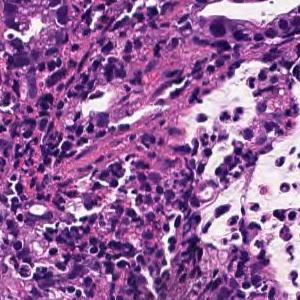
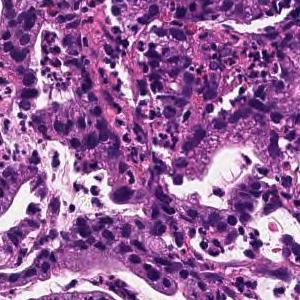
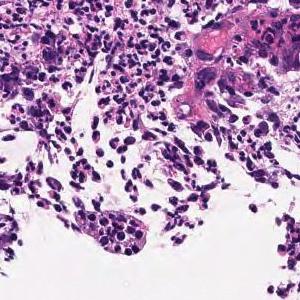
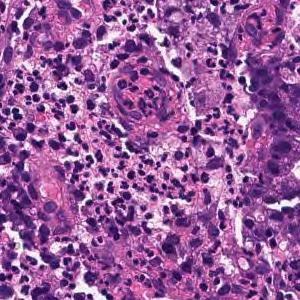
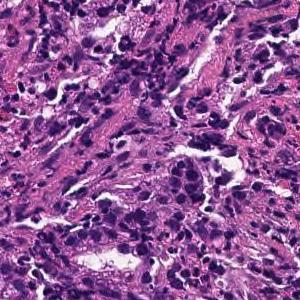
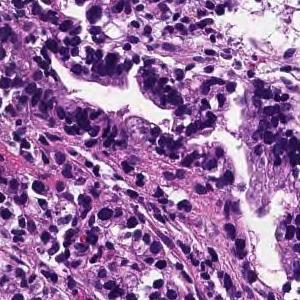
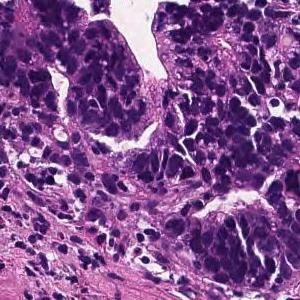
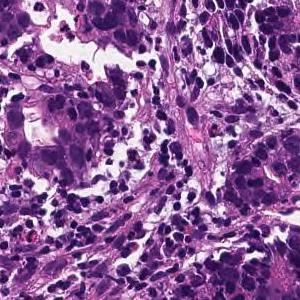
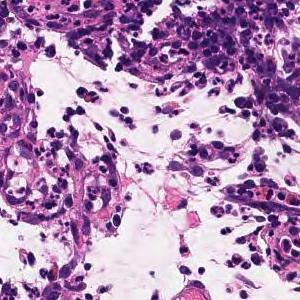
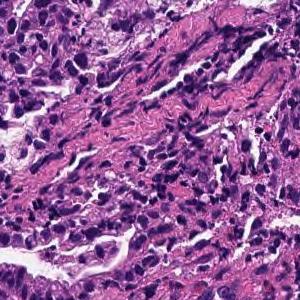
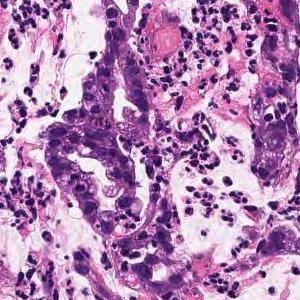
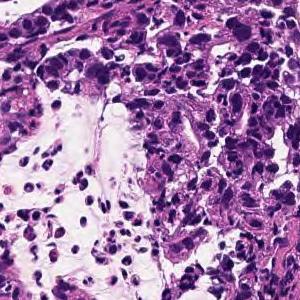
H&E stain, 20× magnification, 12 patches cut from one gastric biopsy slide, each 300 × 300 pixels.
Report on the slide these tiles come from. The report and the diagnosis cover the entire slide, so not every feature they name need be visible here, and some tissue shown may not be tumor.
On the superficial epithelium, tumor tissue consisting of large, irregular glandular ducts partially fused and infiltrated is observed. Well to moderately differentiated tubular adenocarcinoma (well differentiated tubular adenocarcinoma, moderately differentiated tubular adenocarcinoma)
Histologic type: Well to moderately differentiated tubular adenocarcinoma.
